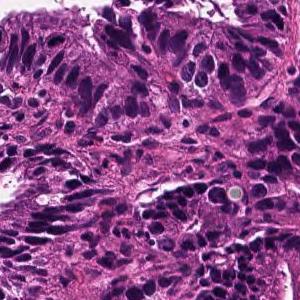
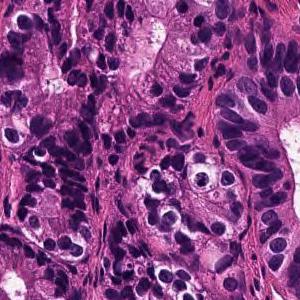
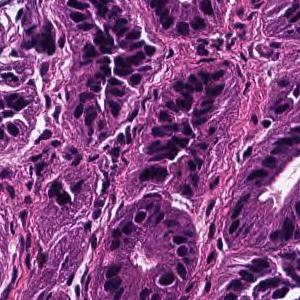
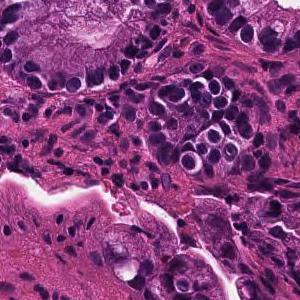
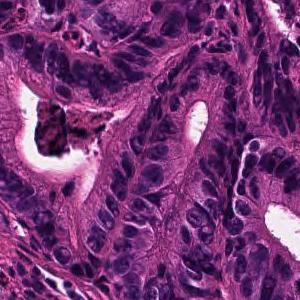
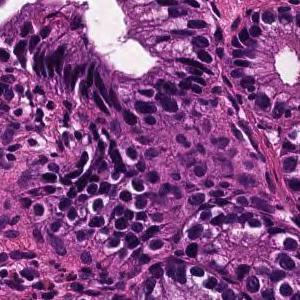
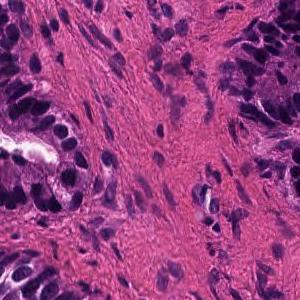
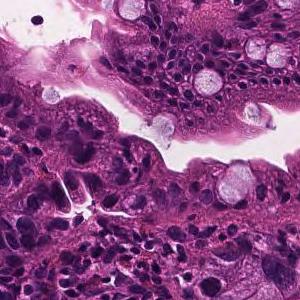
H&E · 20× magnification · 8 patches cut from one gastric biopsy slide.
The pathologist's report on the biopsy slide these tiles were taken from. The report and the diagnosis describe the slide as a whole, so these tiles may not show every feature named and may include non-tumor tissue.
In the superficial epithelium, tumor tissue that invades by forming medium-sized to small, irregular ducts is observed. Well differentiated tubular adenocarcinoma.
